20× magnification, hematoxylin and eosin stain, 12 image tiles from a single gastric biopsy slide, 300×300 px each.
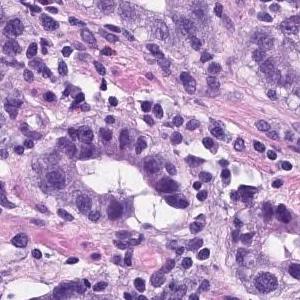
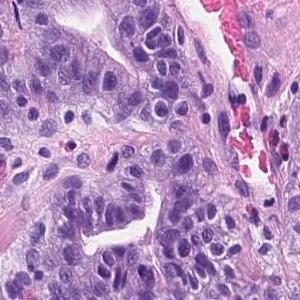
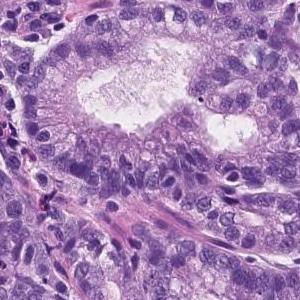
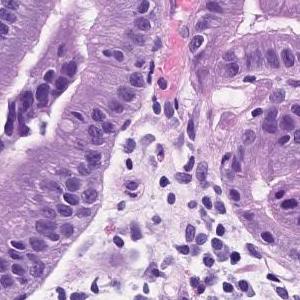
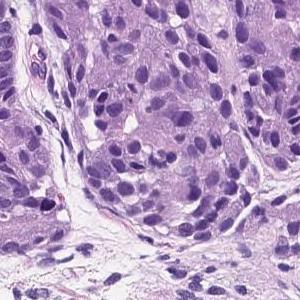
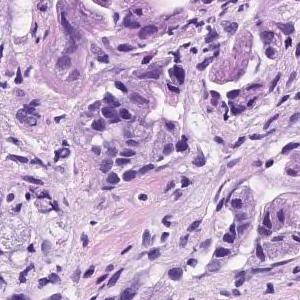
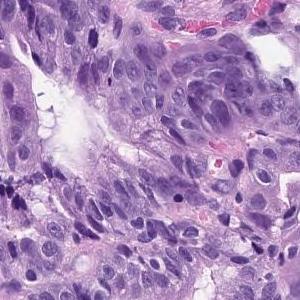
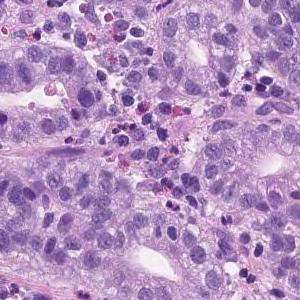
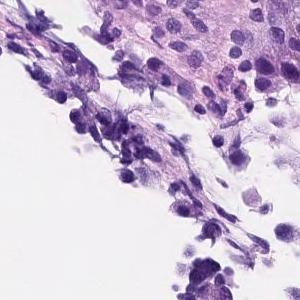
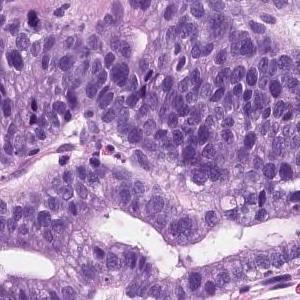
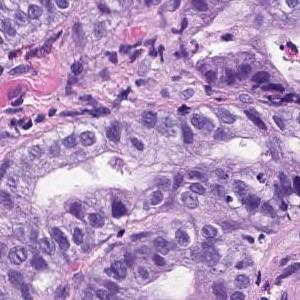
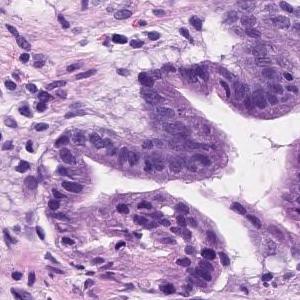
The pathologist's report on the biopsy slide these tiles were taken from. What the report and the diagnosis say applies to the whole slide; these tiles may miss some of the features named and may include tissue that is not tumor.
Tumor tissue consisting of medium-sized and irregular ducts is observed infiltrating in the superficial epithelium. Tumor cells are highly columnar, with nuclei aligned basolaterally and polarized. Well differentiated tubular adenocarcinoma.
